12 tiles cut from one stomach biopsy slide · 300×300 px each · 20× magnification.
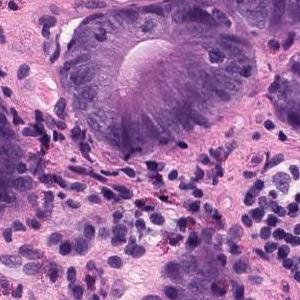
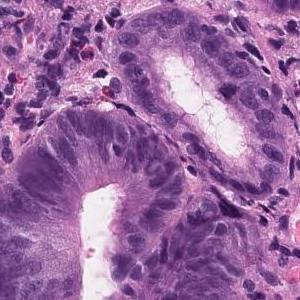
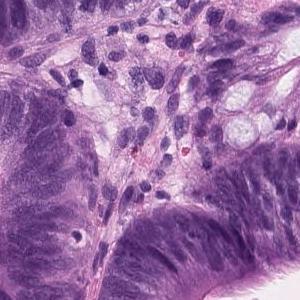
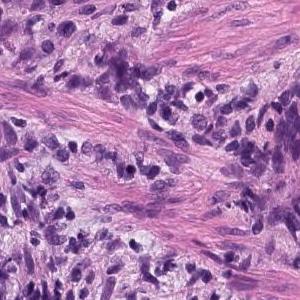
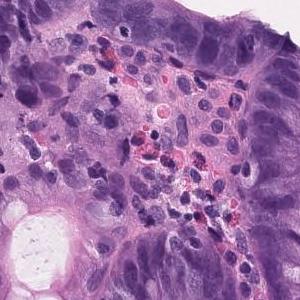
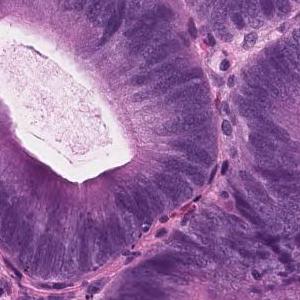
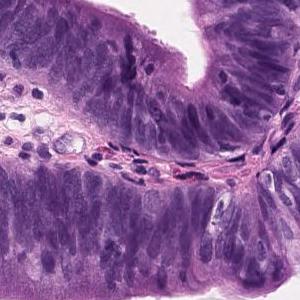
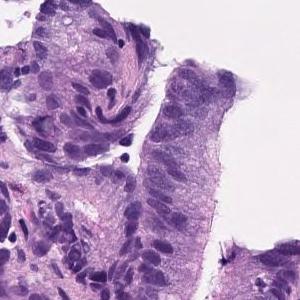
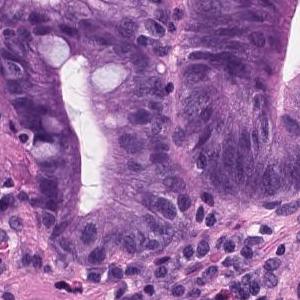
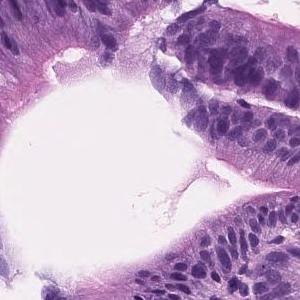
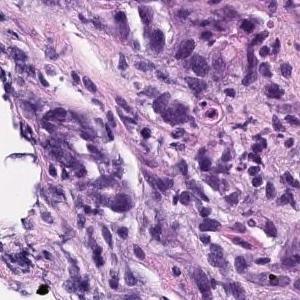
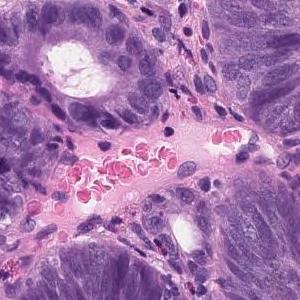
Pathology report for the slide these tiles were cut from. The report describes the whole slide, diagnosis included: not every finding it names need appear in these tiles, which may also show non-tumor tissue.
On the superficial epithelium, tumor tissue with densely growing medium to large, round tubules is observed. Tumor cells are highly columnar, with nuclei aligned basolaterally and polarized. Well differentiated tubular adenocarcinoma
